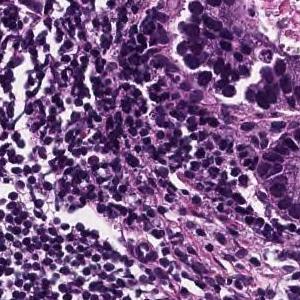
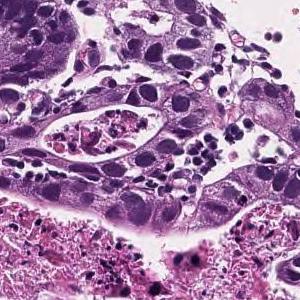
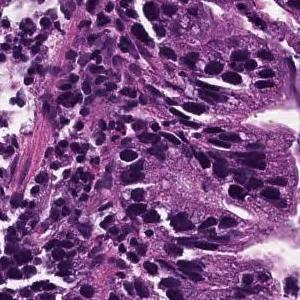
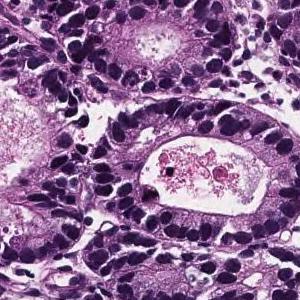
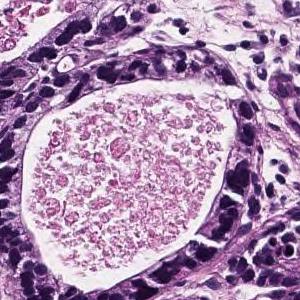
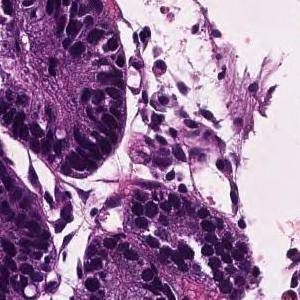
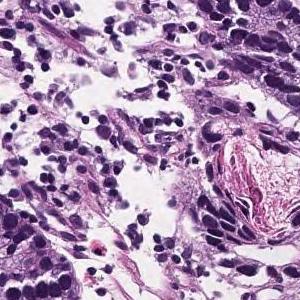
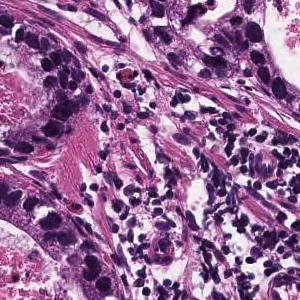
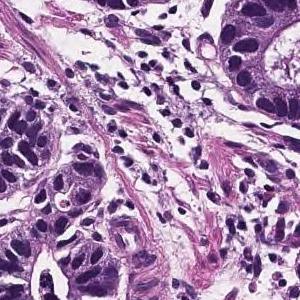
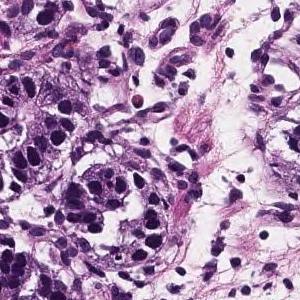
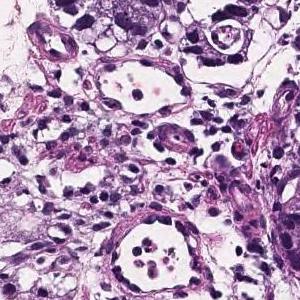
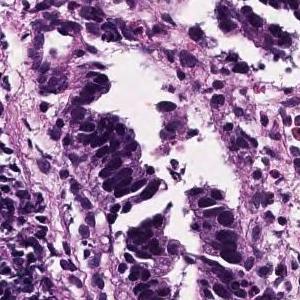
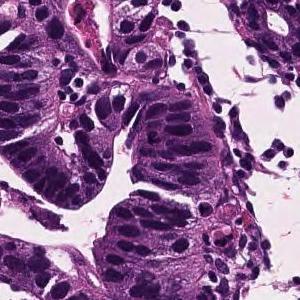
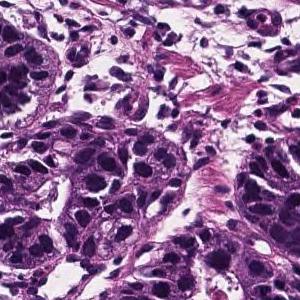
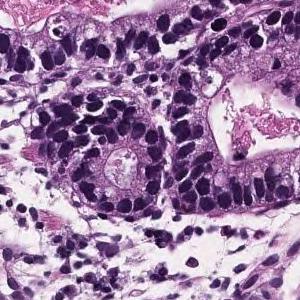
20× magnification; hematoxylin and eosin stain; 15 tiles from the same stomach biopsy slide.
Pathology report for the biopsy slide these tiles were cut from. What the report and the diagnosis say applies to the whole slide; these tiles may miss some of the features named and may include tissue that is not tumor.
In the superficial epithelium, tumor tissue that invades by forming medium-sized to small, irregular ducts is observed. Well differentiated tubular adenocarcinoma.
